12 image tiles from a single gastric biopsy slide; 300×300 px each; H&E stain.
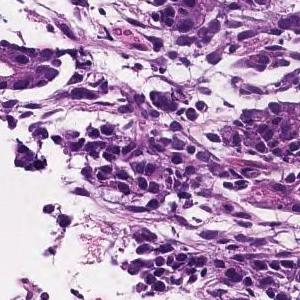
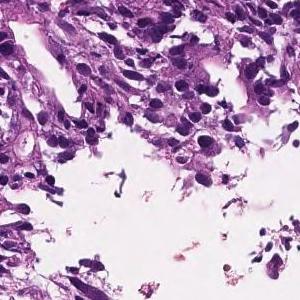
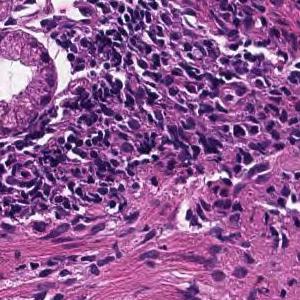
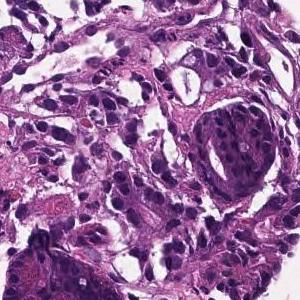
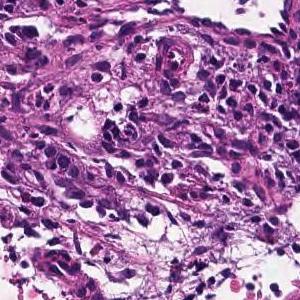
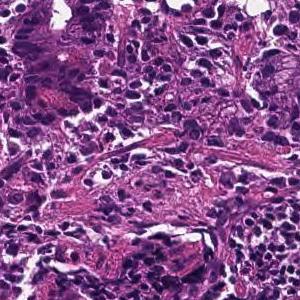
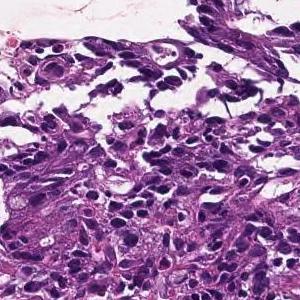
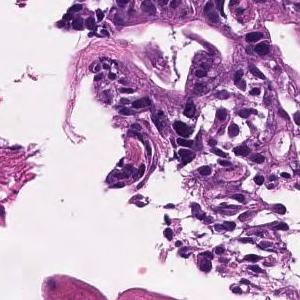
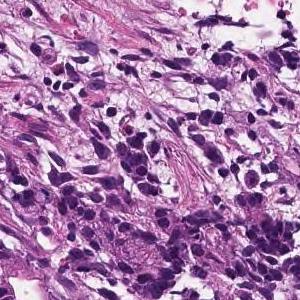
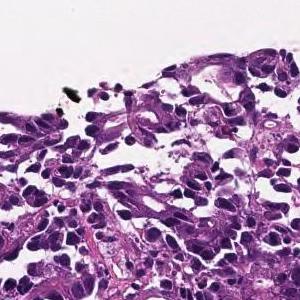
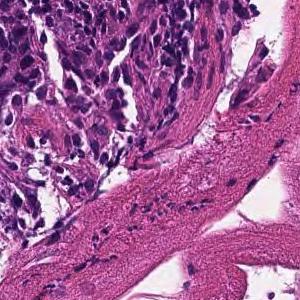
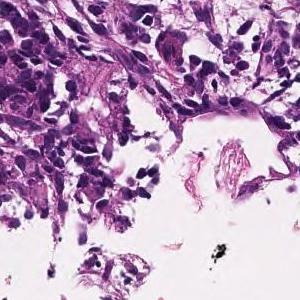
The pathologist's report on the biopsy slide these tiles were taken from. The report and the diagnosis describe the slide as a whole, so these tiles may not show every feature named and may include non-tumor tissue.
In the superficial epithelium, tumor tissue that invades by forming medium-sized to small, irregular ducts is observed. moderately differentiated tubular adenocarcinoma.
